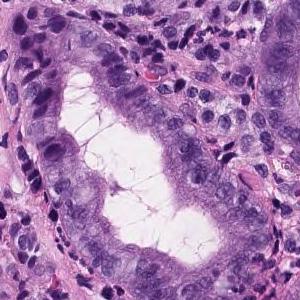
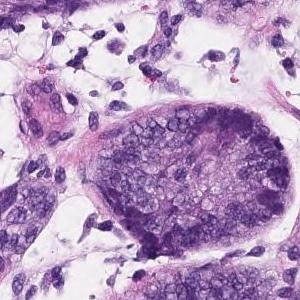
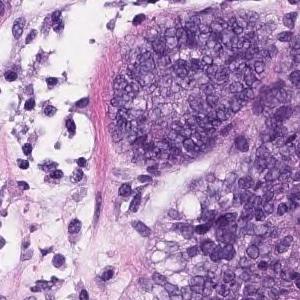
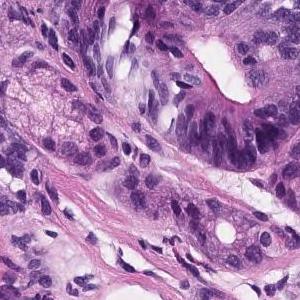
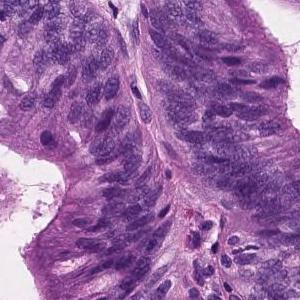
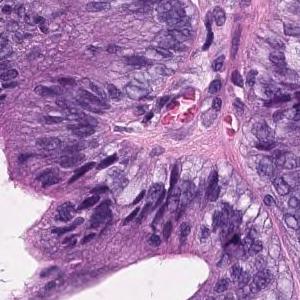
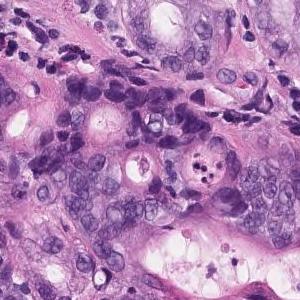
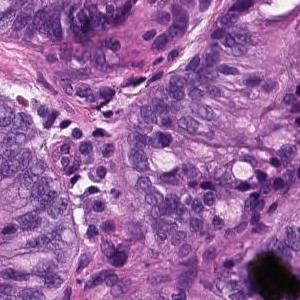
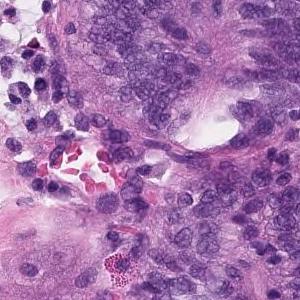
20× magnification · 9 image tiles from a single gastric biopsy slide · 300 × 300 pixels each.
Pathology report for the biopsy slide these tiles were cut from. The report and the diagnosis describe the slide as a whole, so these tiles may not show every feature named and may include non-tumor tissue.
Group 5, Well differentiated tubular adenocarcinoma.
